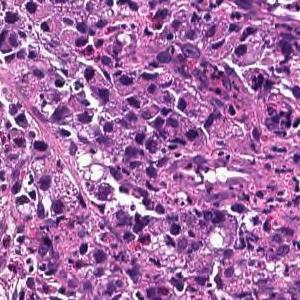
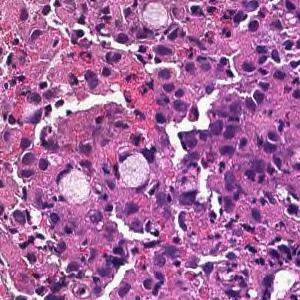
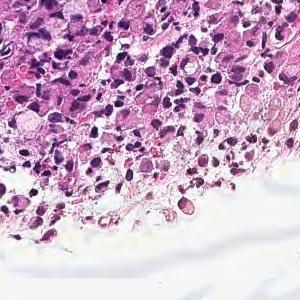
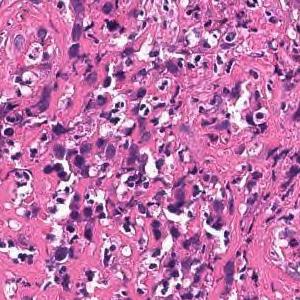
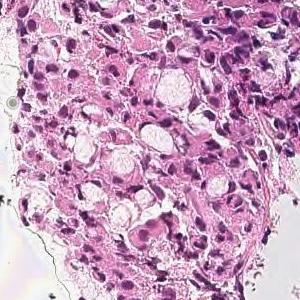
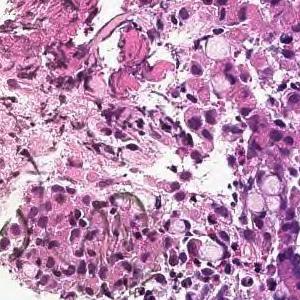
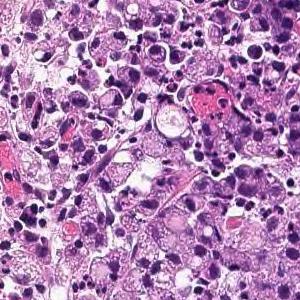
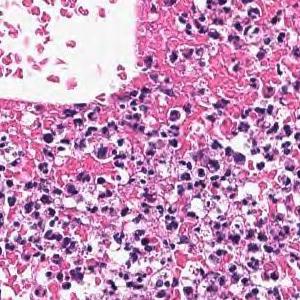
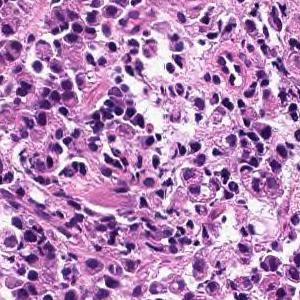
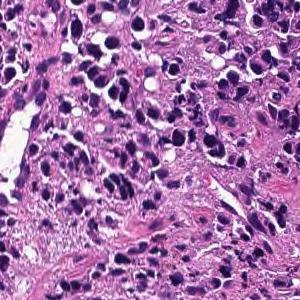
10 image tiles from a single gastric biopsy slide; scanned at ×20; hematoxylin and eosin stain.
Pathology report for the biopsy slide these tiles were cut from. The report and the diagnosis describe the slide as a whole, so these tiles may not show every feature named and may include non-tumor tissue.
Tumor tissue consisting of diffusely infiltrated large atypical epithelial cells or signet ring atypical cells is observed in the superficial epithelium. Poorly differentiated adenocarcinoma, solid-type
Histologic type: Poorly differentiated adenocarcinoma, solid type, a category of the Japanese Classification of Gastric Carcinoma; in the WHO 2019 classification it is tubular adenocarcinoma, poorly differentiated.
